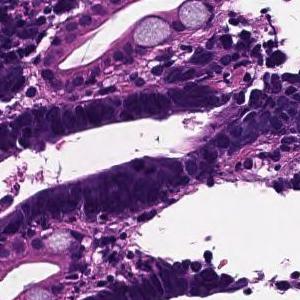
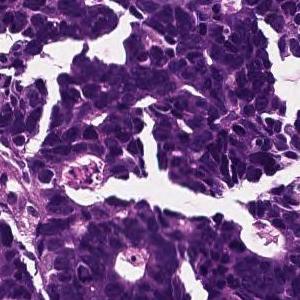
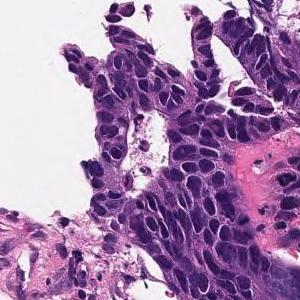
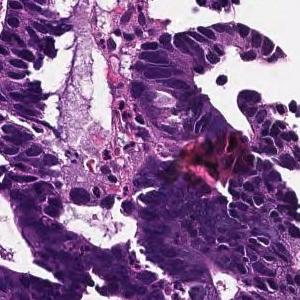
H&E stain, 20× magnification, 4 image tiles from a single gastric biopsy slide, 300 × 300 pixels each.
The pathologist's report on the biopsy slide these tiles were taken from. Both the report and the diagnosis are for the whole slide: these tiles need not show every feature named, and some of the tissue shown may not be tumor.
In the superficial epithelium, tumor tissue that invades by forming medium-sized to small, irregular ducts is observed. moderately differentiated tubular adenocarcinoma.
